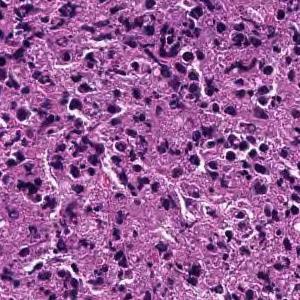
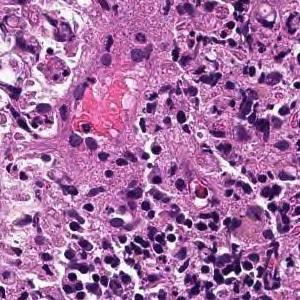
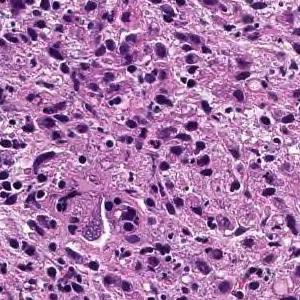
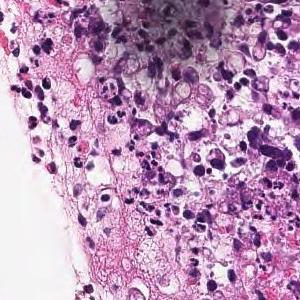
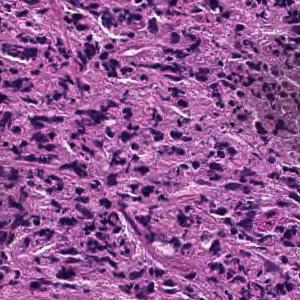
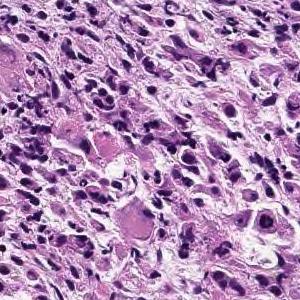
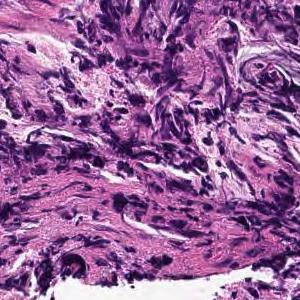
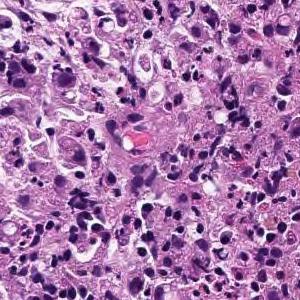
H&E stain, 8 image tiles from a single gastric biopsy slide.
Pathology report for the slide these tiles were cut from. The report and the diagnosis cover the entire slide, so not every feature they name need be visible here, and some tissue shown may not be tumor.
Large sheet-like or diffusely infiltrating tumor tissue is found in the superficial epithelium. Poorly differentiated adenocarcinoma, solid-type
Classified as poorly differentiated adenocarcinoma, solid type. This name comes from the Japanese Classification of Gastric Carcinoma; the WHO 2019 classification calls it tubular adenocarcinoma, poorly differentiated.
